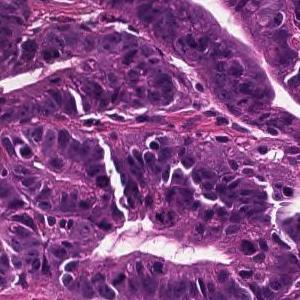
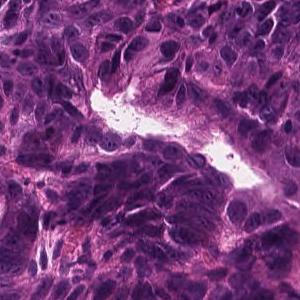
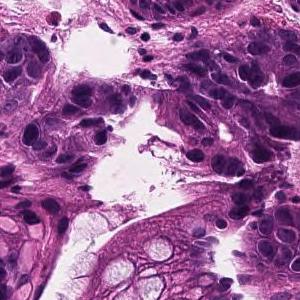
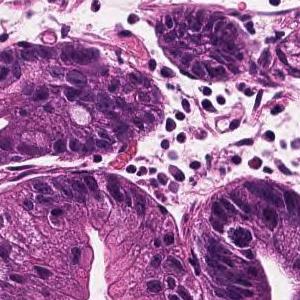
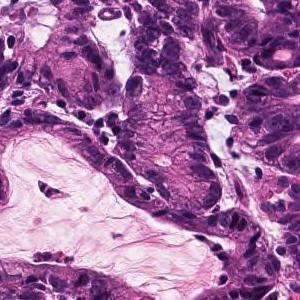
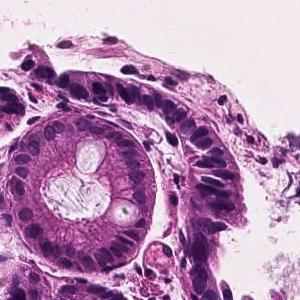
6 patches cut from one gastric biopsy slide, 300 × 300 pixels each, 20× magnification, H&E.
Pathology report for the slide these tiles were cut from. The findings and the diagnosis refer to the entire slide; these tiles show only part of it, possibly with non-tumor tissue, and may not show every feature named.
In the superficial epithelium, tumor tissue that invades by forming medium-sized to small, irregular ducts is observed. Well differentiated tubular adenocarcinoma.
